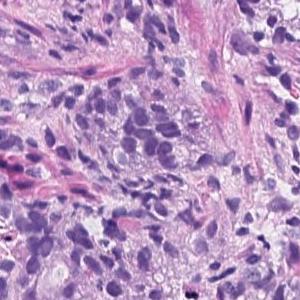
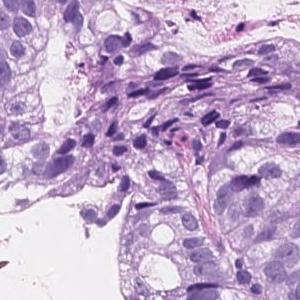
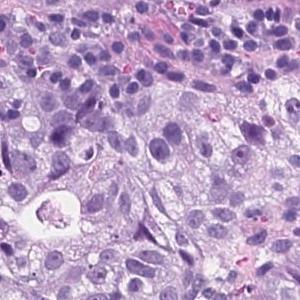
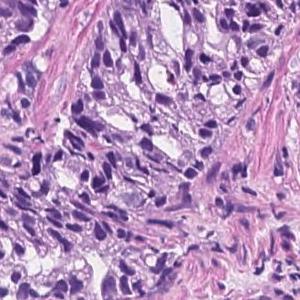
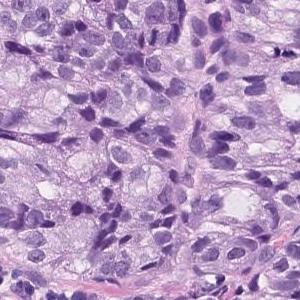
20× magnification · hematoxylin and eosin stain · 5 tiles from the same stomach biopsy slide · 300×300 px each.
Pathology report for the biopsy slide these tiles were cut from. Both the report and the diagnosis are for the whole slide: these tiles need not show every feature named, and some of the tissue shown may not be tumor.
On the superficial epithelium, tumor tissue consisting of an image of large, irregular glandular ducts partially fused and infiltrated is observed. Well to moderately differentiated tubular adenocarcinoma
